9 patches cut from one gastric biopsy slide · 300×300 px each · 20× magnification.
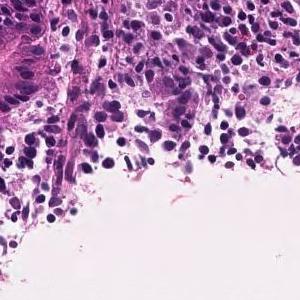
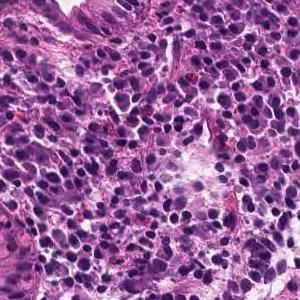
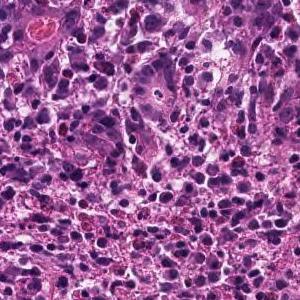
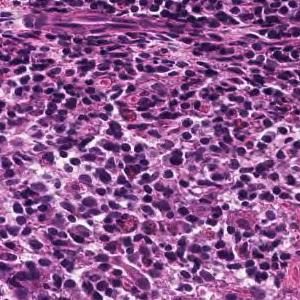
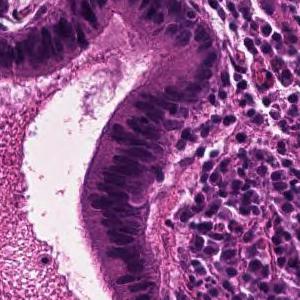
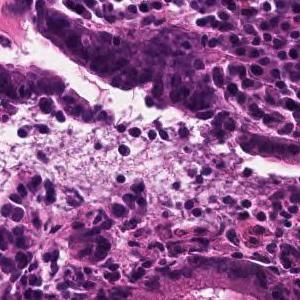
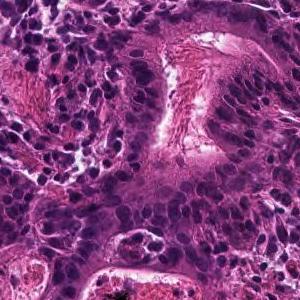
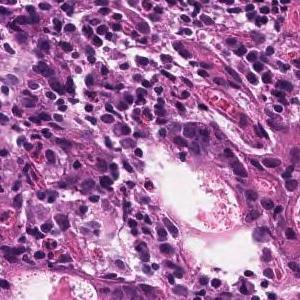
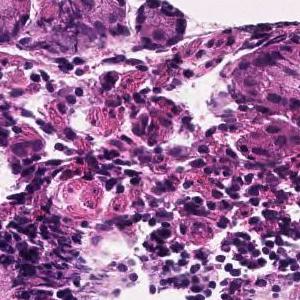
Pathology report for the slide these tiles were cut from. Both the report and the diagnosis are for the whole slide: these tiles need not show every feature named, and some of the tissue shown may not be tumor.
Tumor tissue consisting of medium-sized, cord-like or irregular glandular infiltration is observed in the superficial epithelium. Poorly differentiated adenocarcinoma, non-solid type or moderately differentiated tubular adenocarcinoma
The dataset labels this slide poorly differentiated adenocarcinoma, non-solid type.
The non-solid type named here is a Japanese Classification of Gastric Carcinoma category.
